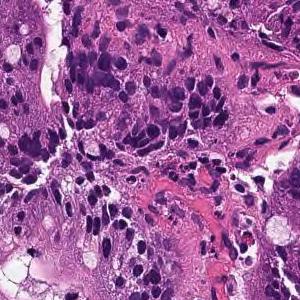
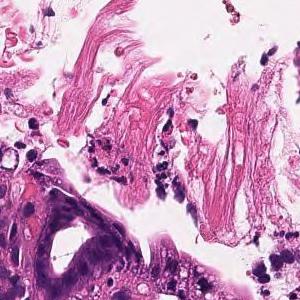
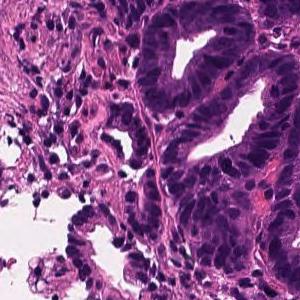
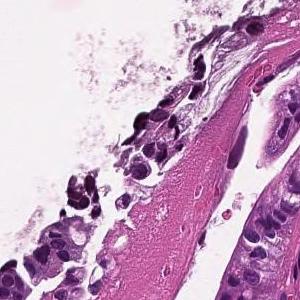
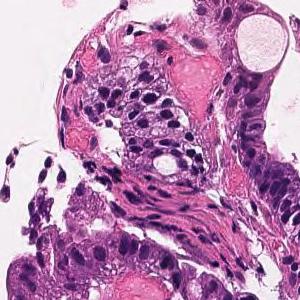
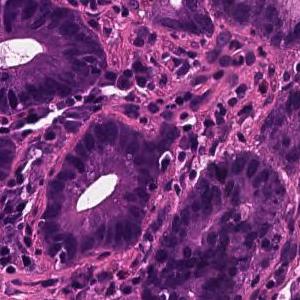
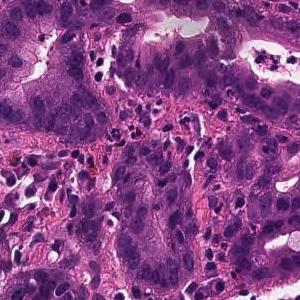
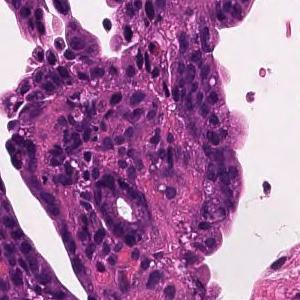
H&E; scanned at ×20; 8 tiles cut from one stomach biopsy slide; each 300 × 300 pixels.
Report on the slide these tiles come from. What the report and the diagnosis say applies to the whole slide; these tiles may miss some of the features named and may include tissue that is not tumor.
On the superficial epithelium, tumor tissue that infiltrates by forming medium-sized papillary or small irregular ducts is observed. Papillary adenocarcinoma
